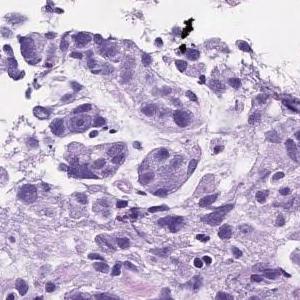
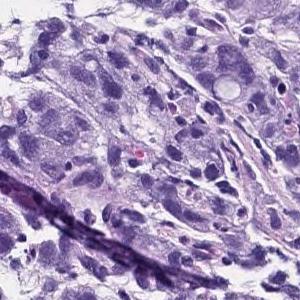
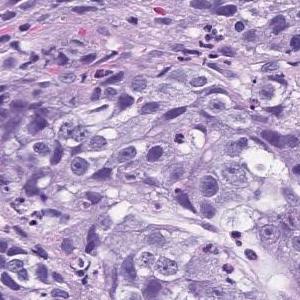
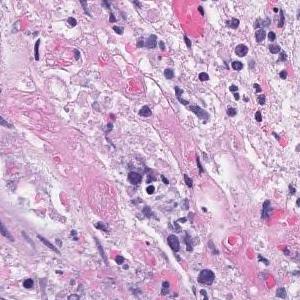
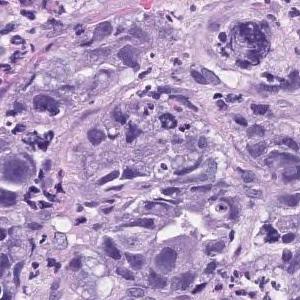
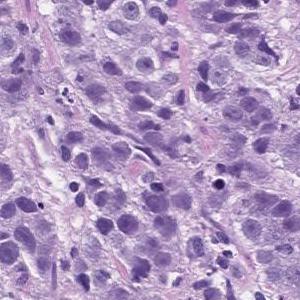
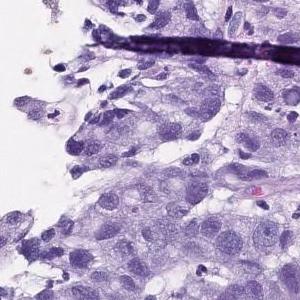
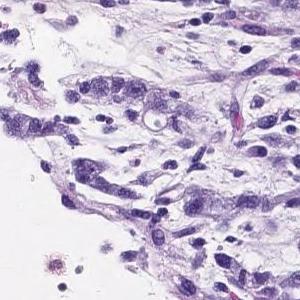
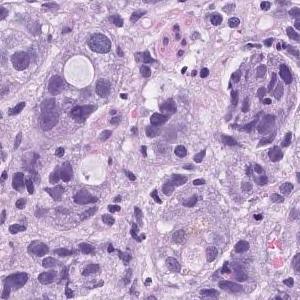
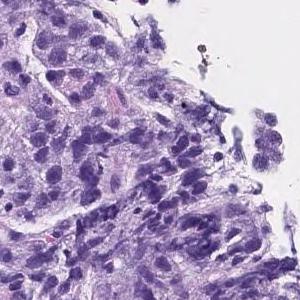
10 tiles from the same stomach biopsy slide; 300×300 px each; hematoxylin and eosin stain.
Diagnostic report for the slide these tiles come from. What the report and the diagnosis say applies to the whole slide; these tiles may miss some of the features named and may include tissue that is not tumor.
Atypical l cells with atypical nuclei forming solid vesicles or small irregular atypical ducts that proliferate in a complex manner. poorly differentiated adenocarcinoma, solid type, moderately differentiated tubular adenocarcinoma
The term "solid type" comes from the Japanese Classification of Gastric Carcinoma; the WHO 2019 equivalent is tubular adenocarcinoma, poorly differentiated.
